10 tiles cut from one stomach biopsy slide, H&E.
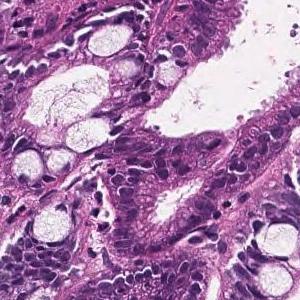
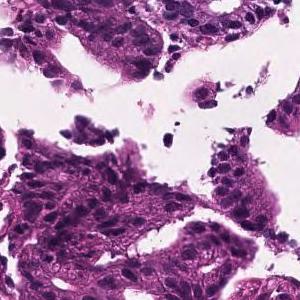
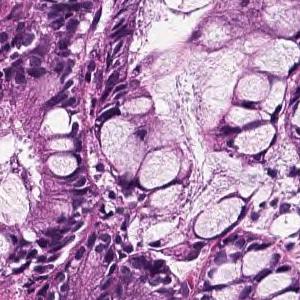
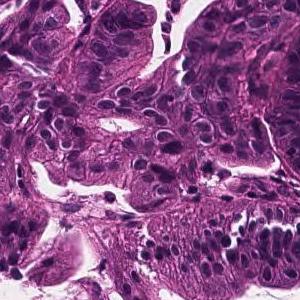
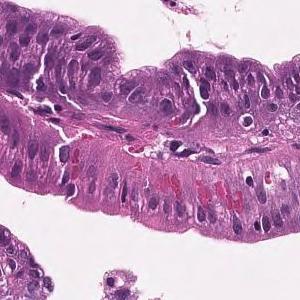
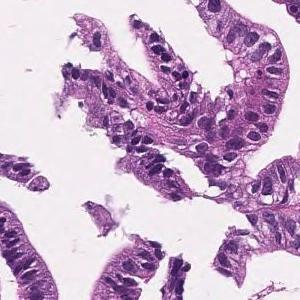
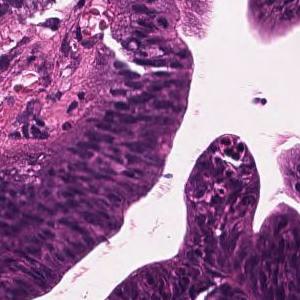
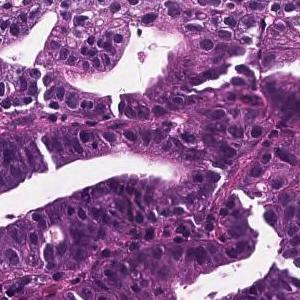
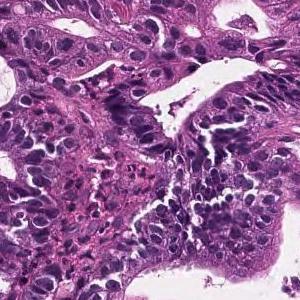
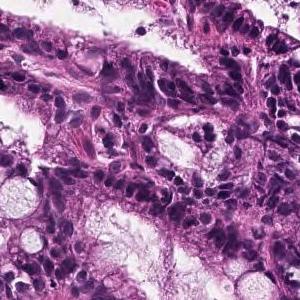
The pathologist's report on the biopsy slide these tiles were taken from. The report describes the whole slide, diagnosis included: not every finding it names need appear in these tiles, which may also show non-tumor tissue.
In the superficial epithelium, tumor tissue that invades by forming medium-sized to small, irregular ducts is observed. Well differentiated tubular adenocarcinoma.
